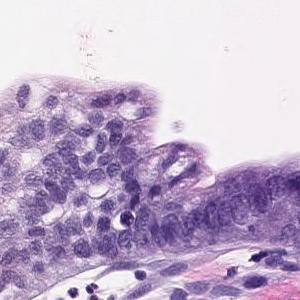
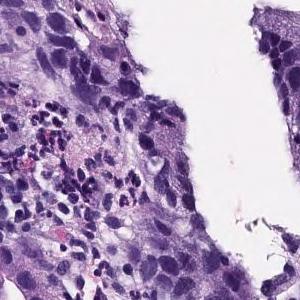
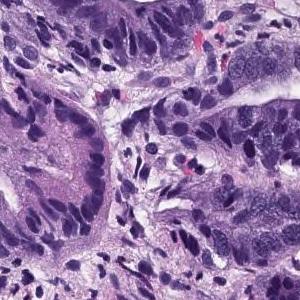
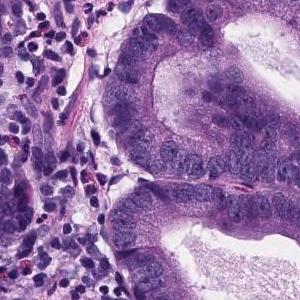
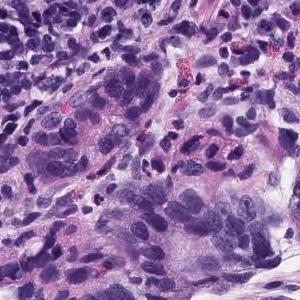
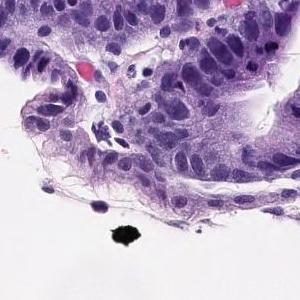
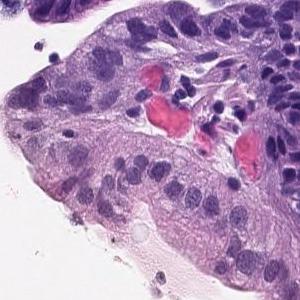
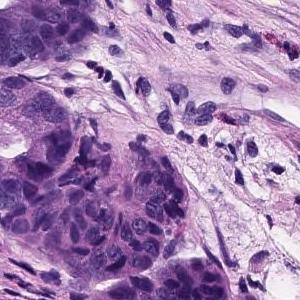
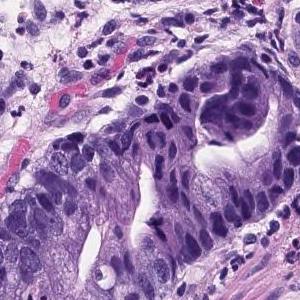
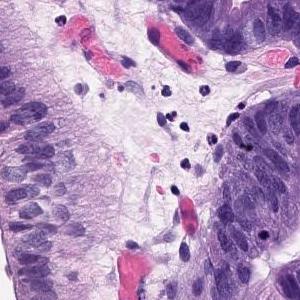
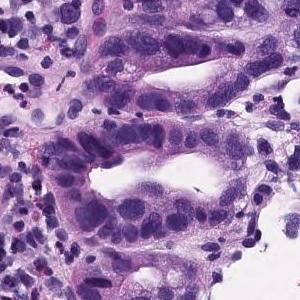
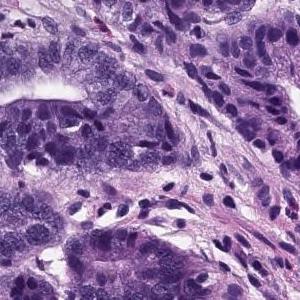
H&E, 20× magnification, 12 tiles cut from one stomach biopsy slide, each 300 × 300 pixels.
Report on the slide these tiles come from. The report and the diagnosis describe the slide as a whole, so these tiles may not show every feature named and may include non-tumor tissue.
Tumor tissue consisting of large papillary structures is found in the superficial epithelium. Papillary adenocarcinoma.
